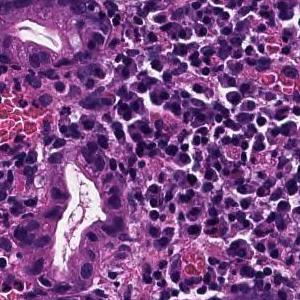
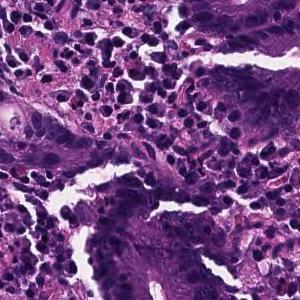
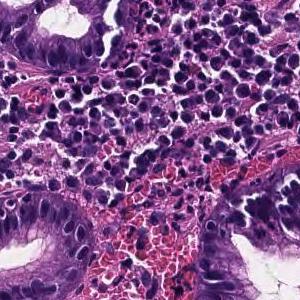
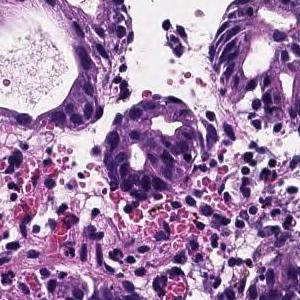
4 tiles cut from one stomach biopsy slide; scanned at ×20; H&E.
Pathology report for the biopsy slide these tiles were cut from. What the report and the diagnosis say applies to the whole slide; these tiles may miss some of the features named and may include tissue that is not tumor.
In the superficial epithelium, tumor tissue that invades by forming medium-sized to small, irregular ducts is observed. moderately differentiated tubular adenocarcinoma.
